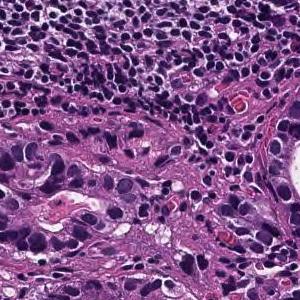
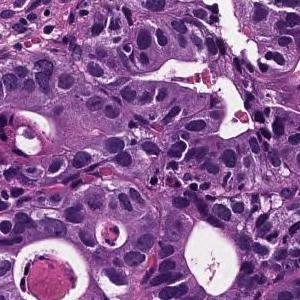
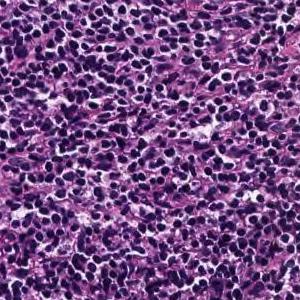
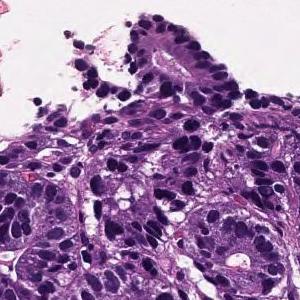
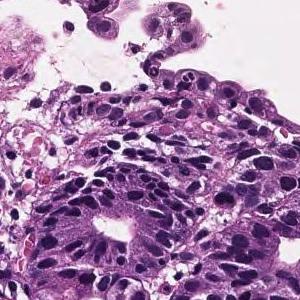
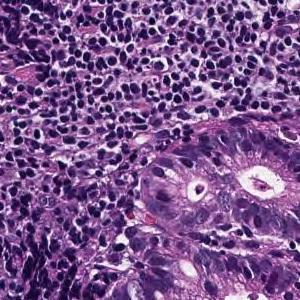
6 tiles from the same stomach biopsy slide; each 300 × 300 pixels; scanned at ×20; H&E.
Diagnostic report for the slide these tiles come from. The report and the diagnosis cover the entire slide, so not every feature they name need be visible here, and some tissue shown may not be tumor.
In the superficial epithelium, tumor tissue that invades by forming medium-sized to small, irregular ducts is observed. Well differentiated tubular adenocarcinoma.
